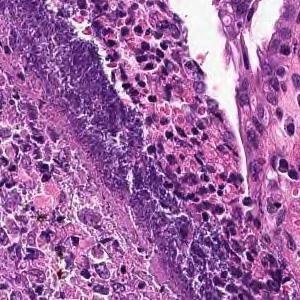
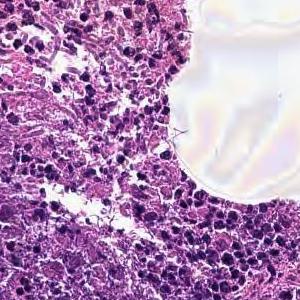
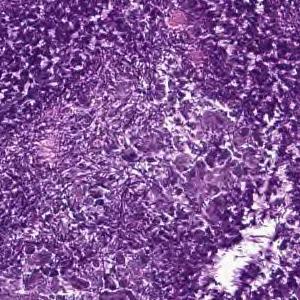
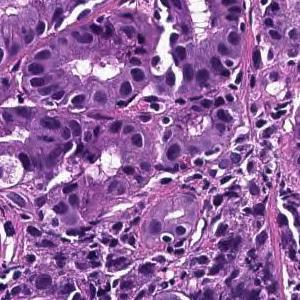
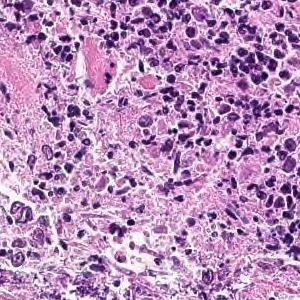
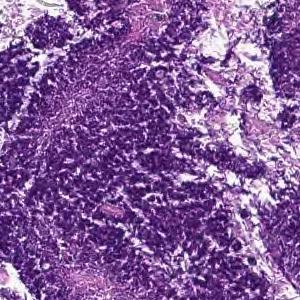
6 patches cut from one gastric biopsy slide, 300 × 300 pixels each, H&E, ×20.
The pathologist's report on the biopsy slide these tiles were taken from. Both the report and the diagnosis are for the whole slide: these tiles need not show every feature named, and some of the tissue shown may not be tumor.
Cancers with polygonal nuclei do not show glandular formation and are densely, in part, cord-like and proliferate. Poorly differentiated adenocarcinoma
Histological subtype: Poorly differentiated adenocarcinoma, non-solid type.
"Non-solid type" is a category of the Japanese Classification of Gastric Carcinoma.
